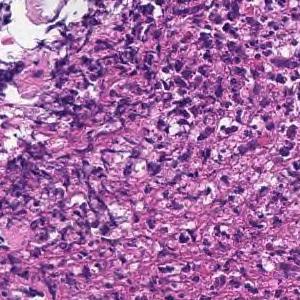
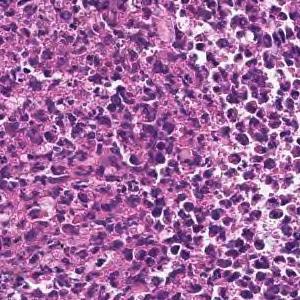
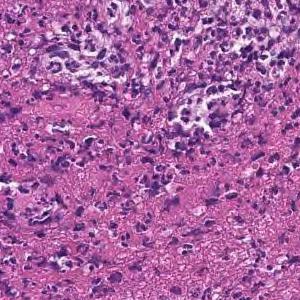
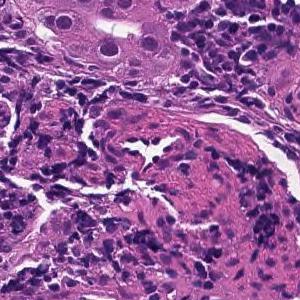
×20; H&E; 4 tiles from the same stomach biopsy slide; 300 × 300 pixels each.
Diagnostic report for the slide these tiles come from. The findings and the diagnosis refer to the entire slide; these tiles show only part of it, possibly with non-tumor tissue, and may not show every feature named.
In the superficial epithelium, tumor tissue infiltrated by partial fusion of medium-sized to small, irregular glandular ducts is observed. moderately differentiated tubular adenocarcinoma
